12 tiles from the same stomach biopsy slide; each 300 × 300 pixels; scanned at ×20; H&E stain.
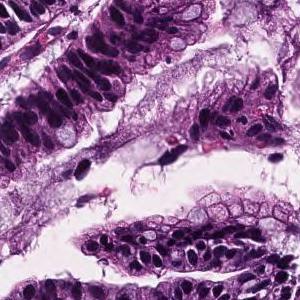
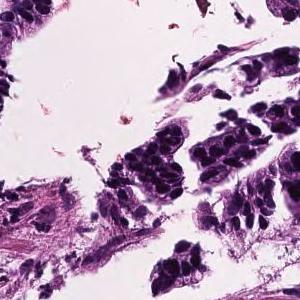
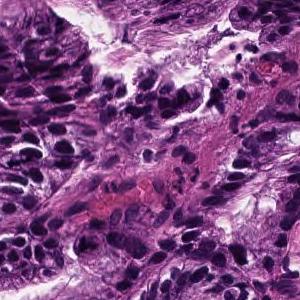
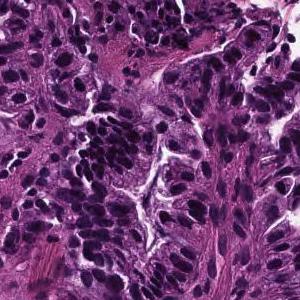
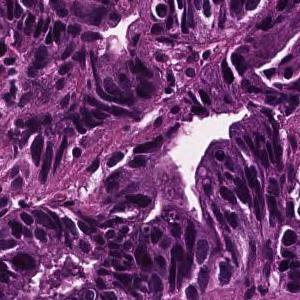
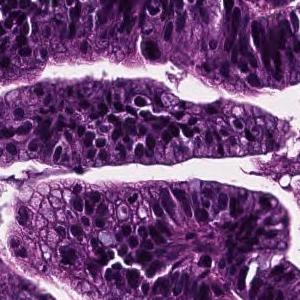
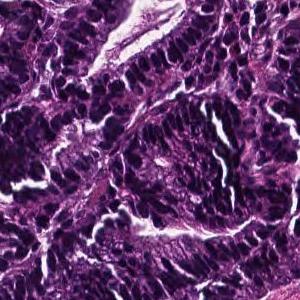
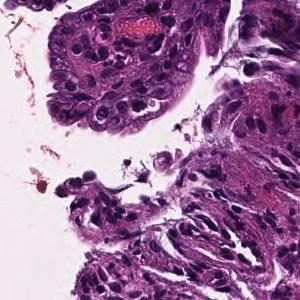
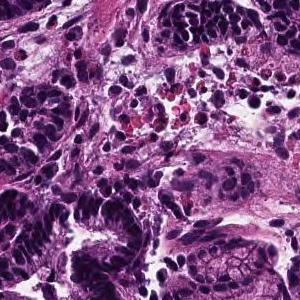
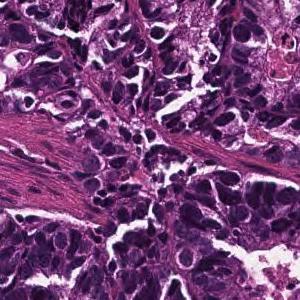
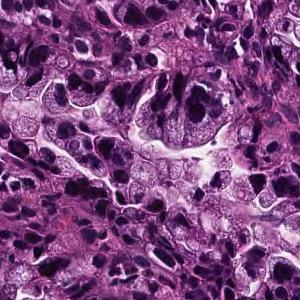
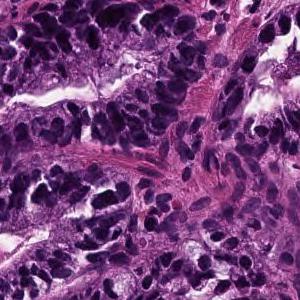
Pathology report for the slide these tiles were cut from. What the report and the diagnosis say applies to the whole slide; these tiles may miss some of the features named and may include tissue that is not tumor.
In the superficial epithelium, tumor tissue that invades by forming medium-sized to small, irregular ducts is observed. Well differentiated tubular adenocarcinoma.
